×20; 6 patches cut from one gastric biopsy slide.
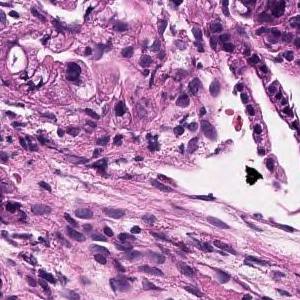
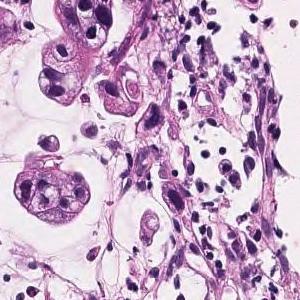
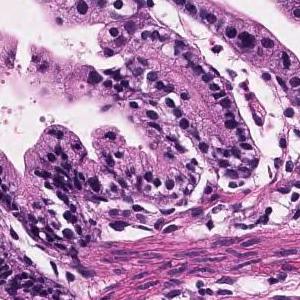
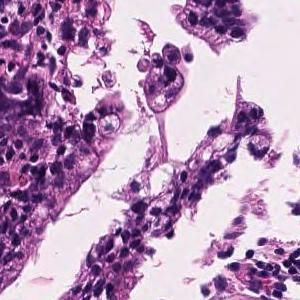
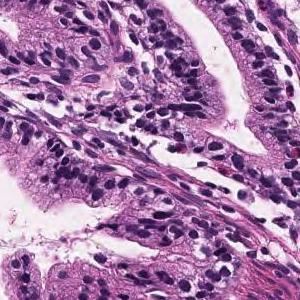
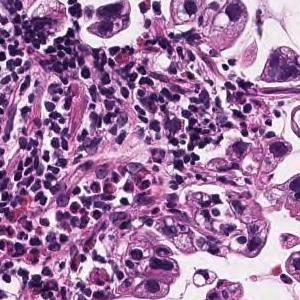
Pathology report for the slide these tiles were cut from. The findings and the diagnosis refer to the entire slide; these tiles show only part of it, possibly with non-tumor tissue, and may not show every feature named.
Tumor tissue consisting of large papillary structures or irregular glandular ducts partially fused and infiltrated is observed in the superficial epithelium. Well to moderately differentiated tubular adenocarcinoma.
Labeled in the dataset as moderately differentiated tubular adenocarcinoma.
